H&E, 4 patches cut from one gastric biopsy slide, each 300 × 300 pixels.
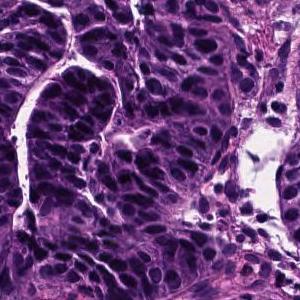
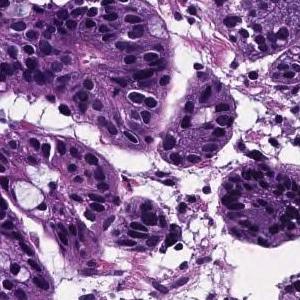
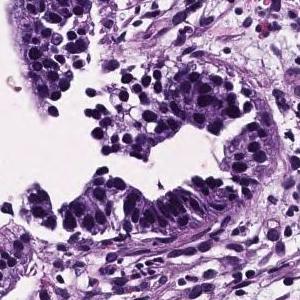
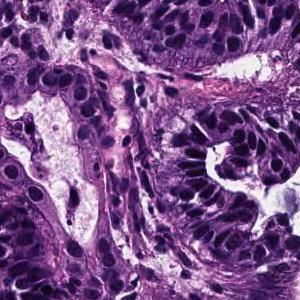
The pathologist's report on the biopsy slide these tiles were taken from. The findings and the diagnosis refer to the entire slide; these tiles show only part of it, possibly with non-tumor tissue, and may not show every feature named.
On the superficial epithelium, tumor tissue consisting of medium-sized to large-sized, round or irregular glandular duct growth images is observed. Well differentiated tubular adenocarcinoma
